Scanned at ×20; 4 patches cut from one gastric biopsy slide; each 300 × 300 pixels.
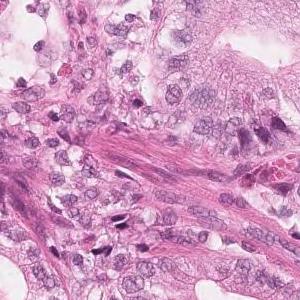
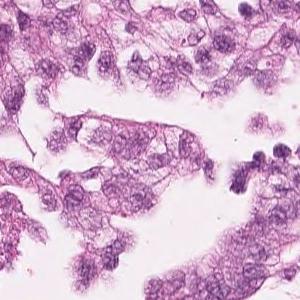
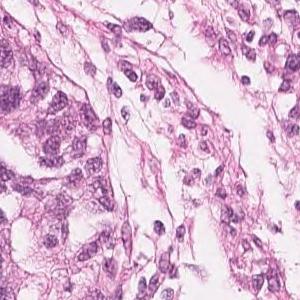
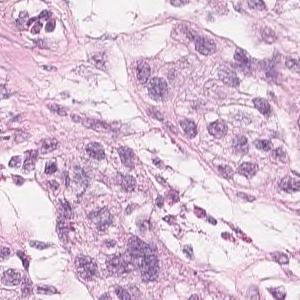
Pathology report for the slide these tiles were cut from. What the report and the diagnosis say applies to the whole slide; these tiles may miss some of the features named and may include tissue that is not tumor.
Highly columnar epithelium with disordered nuclear localization proliferates showing fusion ductal construction. moderately differentiated tubular adenocarcinoma
